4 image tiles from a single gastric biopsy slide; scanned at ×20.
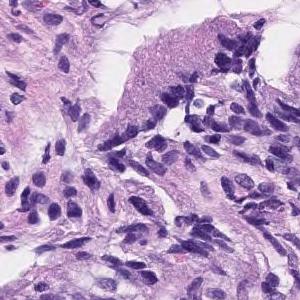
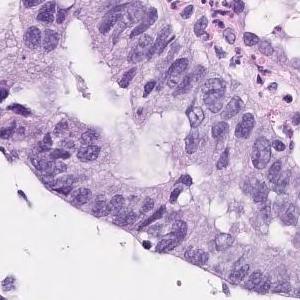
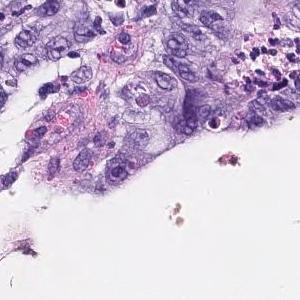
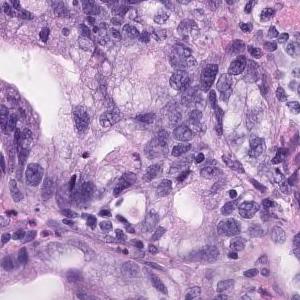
Report on the slide these tiles come from. The report and the diagnosis cover the entire slide, so not every feature they name need be visible here, and some tissue shown may not be tumor.
Tumor cells are large, highly columnar, large club-shaped nuclei, and are associated with chromatin aggregation. Papillary adenocarcinoma.
